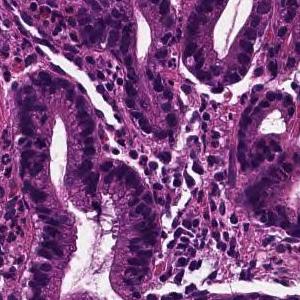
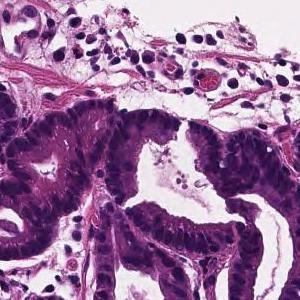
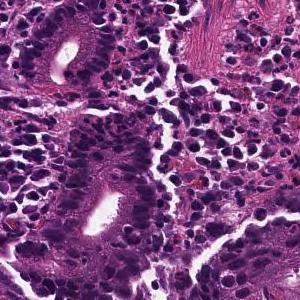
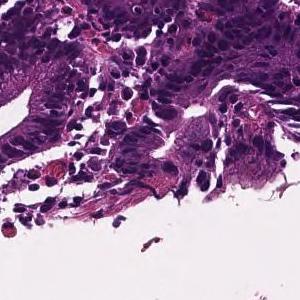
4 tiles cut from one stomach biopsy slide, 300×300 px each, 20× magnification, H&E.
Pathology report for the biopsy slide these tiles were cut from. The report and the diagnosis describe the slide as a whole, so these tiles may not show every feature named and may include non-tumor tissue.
From the superficial epithelium to the muscularis mucosae, tumor tissue consisting of medium-sized and irregular glandular ducts infiltrating is observed. Well differentiated tubular adenocarcinoma
